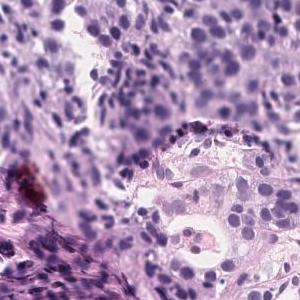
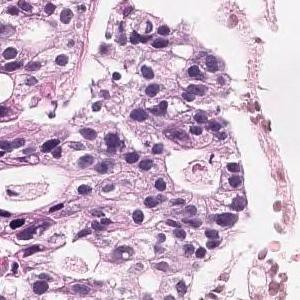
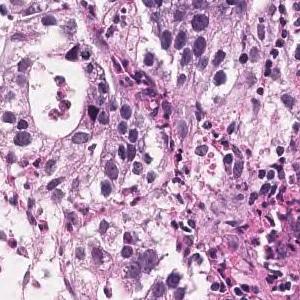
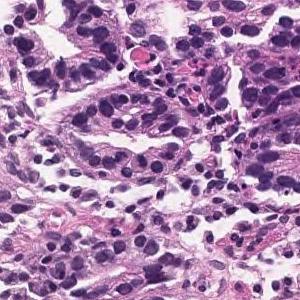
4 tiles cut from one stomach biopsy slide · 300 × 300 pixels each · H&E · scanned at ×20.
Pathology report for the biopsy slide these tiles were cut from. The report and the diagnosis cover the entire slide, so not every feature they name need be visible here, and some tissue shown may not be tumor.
In the superficial epithelium, tumor tissue that invades by forming medium-sized to small, irregular ducts is observed. moderately differentiated tubular adenocarcinoma.
